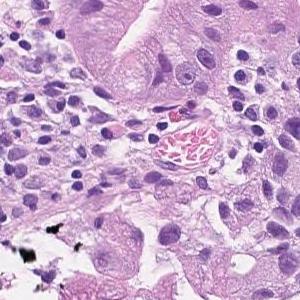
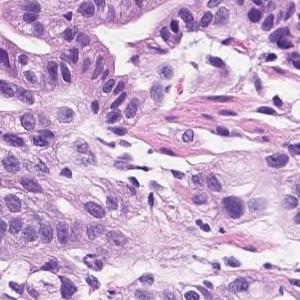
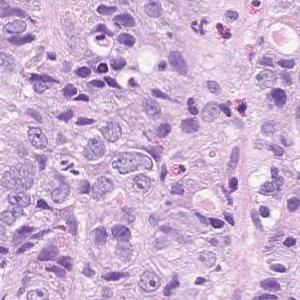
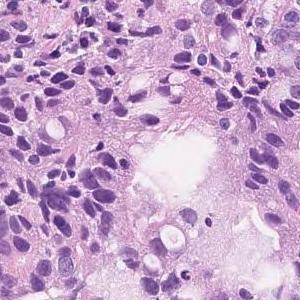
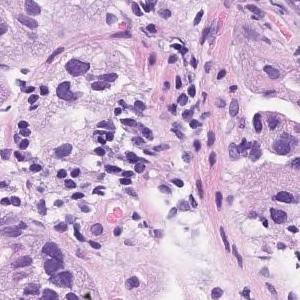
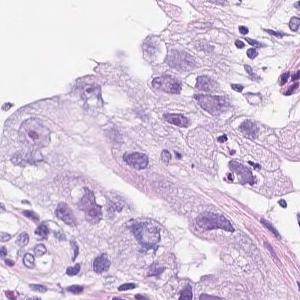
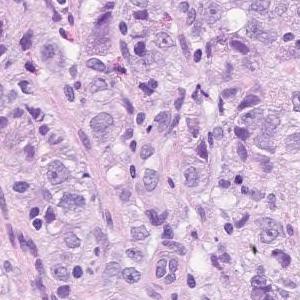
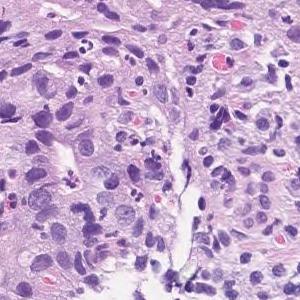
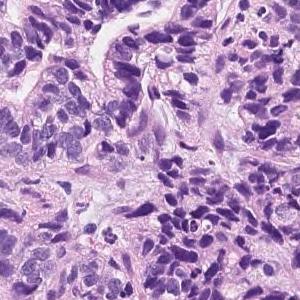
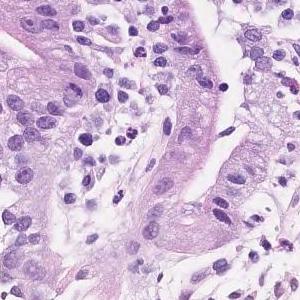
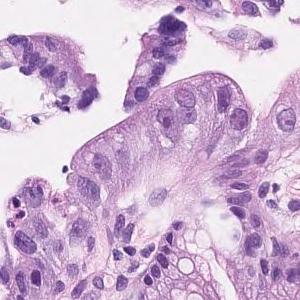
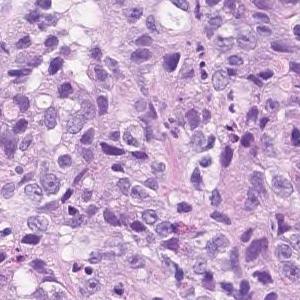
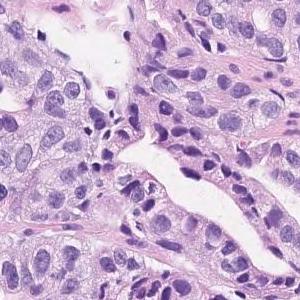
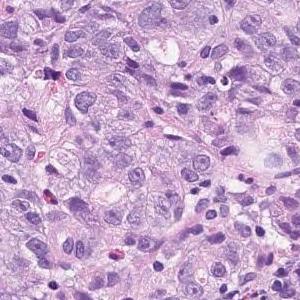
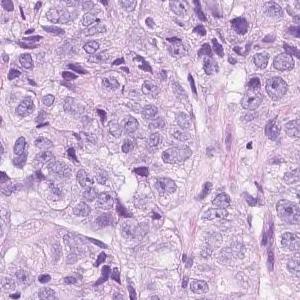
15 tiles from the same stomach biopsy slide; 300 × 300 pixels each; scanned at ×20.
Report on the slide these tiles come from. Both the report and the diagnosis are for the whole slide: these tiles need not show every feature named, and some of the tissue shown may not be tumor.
In the superficial epithelium, tumor tissue that invades by forming medium-sized to small, irregular ducts is observed. Moderately to poorly differentiated adenocarcinoma
